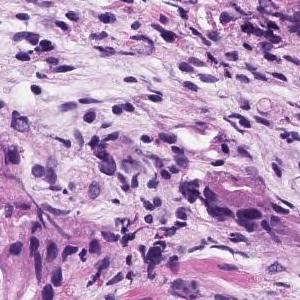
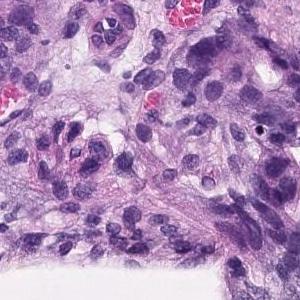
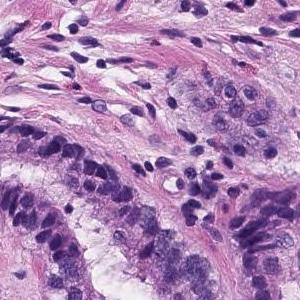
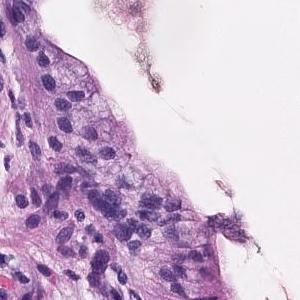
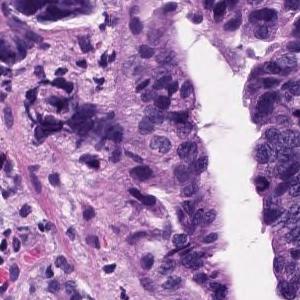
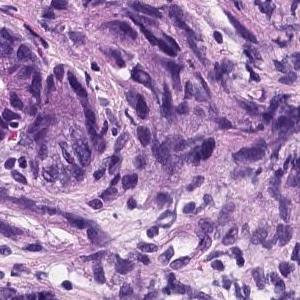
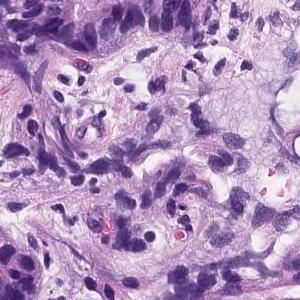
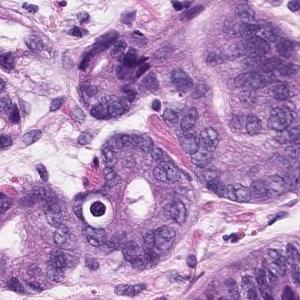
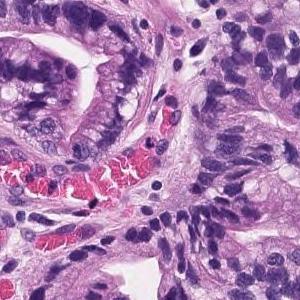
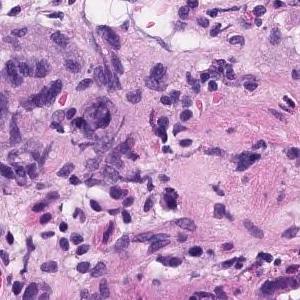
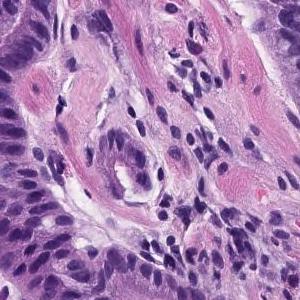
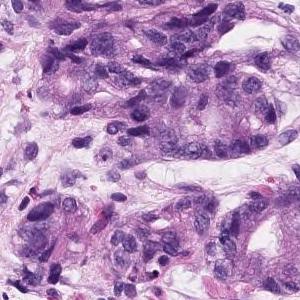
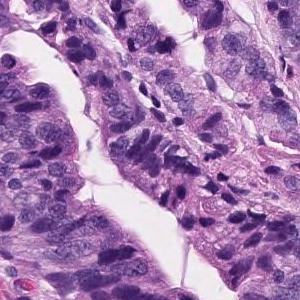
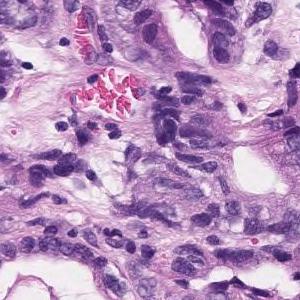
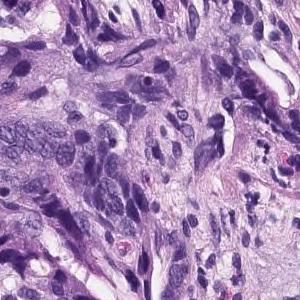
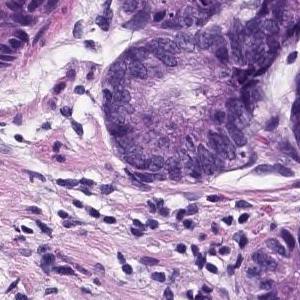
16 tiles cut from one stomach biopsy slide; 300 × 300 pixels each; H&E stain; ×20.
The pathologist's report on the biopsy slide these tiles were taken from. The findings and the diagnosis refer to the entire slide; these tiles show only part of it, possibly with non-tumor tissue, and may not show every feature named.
In the superficial epithelium, tumor tissue that invades by forming medium-sized to small, irregular ducts is observed. Moderately differentiated adenocarcinoma.
Histologic type: Moderately differentiated tubular adenocarcinoma.
